7 patches cut from one gastric biopsy slide · 20× magnification · hematoxylin and eosin stain.
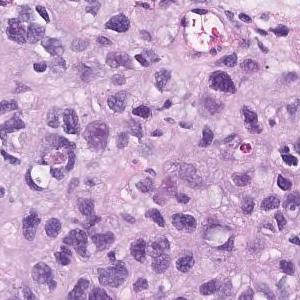
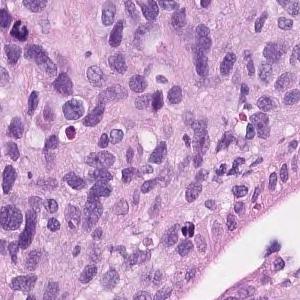
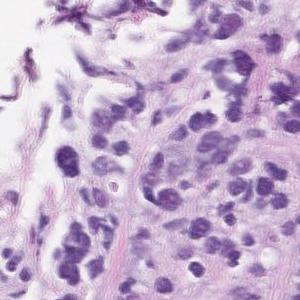
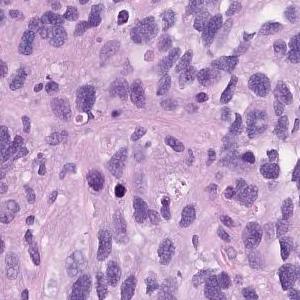
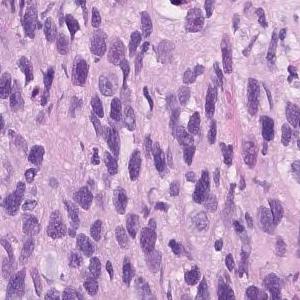
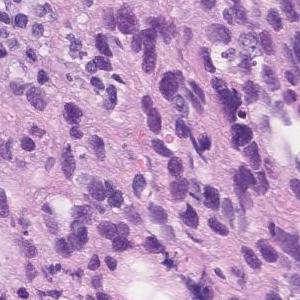
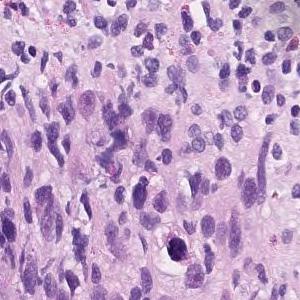
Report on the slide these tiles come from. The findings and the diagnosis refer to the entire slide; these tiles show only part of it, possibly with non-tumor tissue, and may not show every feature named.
Atypical l cells with atypical nuclei under the mucosa growing in isolation and scattered. Poorly differentiated adenocarcinoma (poorly differentiated adenocarcinoma, non-solid type)
Subtype: Poorly differentiated adenocarcinoma, non-solid type.
The non-solid type named here is a Japanese Classification of Gastric Carcinoma category.
